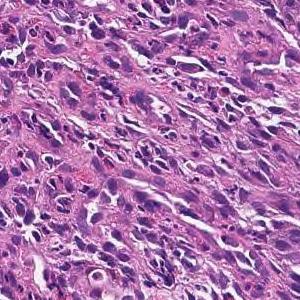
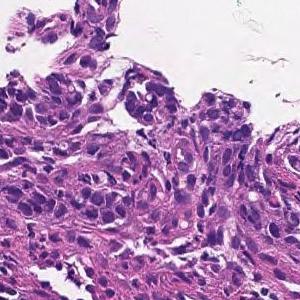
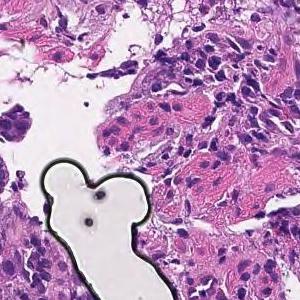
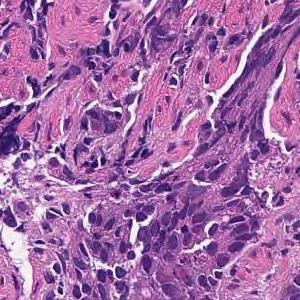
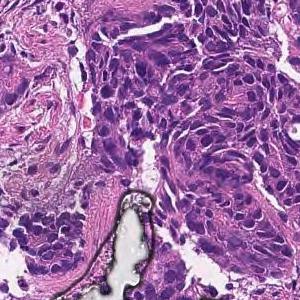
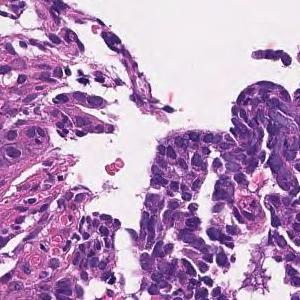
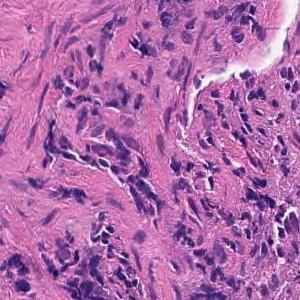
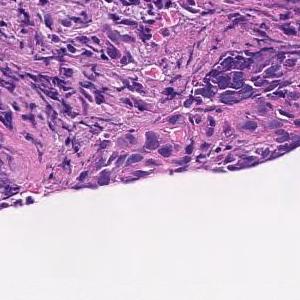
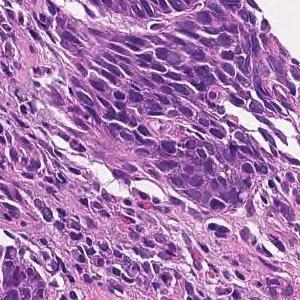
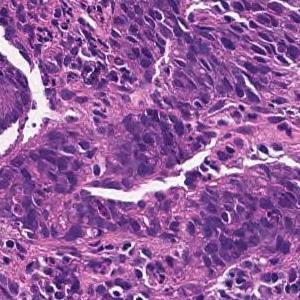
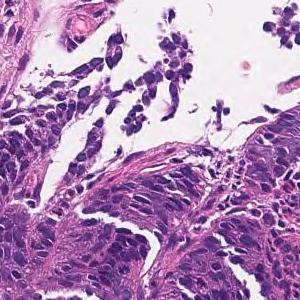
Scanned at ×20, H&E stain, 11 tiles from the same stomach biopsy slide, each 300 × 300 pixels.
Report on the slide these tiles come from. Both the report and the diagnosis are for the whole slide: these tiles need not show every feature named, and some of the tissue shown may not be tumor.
Tumor tissue consisting of cord-like or small, irregular glandular ducts fused and infiltrated is observed in the superficial epithelium. Poorly differentiated adenocarcinoma, non-solid type
The non-solid type named here is a Japanese Classification of Gastric Carcinoma category.
